5 image tiles from a single gastric biopsy slide; 300×300 px each; scanned at ×20.
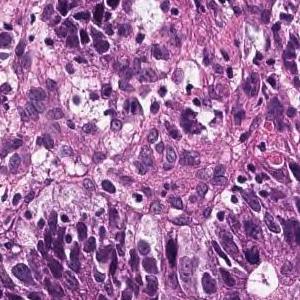
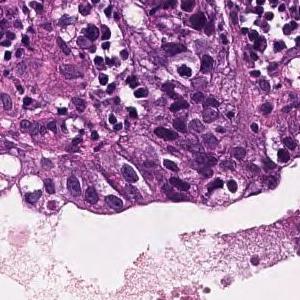
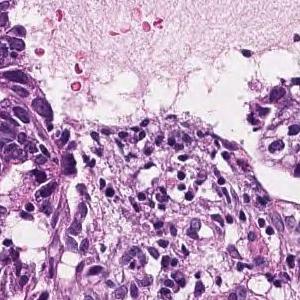
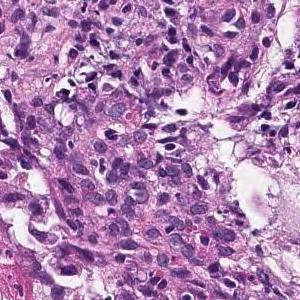
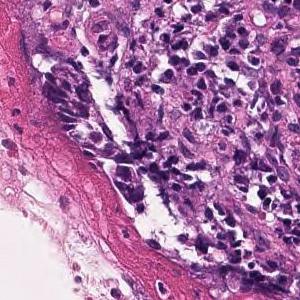
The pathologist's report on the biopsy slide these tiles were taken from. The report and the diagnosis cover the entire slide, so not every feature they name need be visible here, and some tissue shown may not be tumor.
From the superficial epithelium to the muscularis mucosae, tumor tissue infiltrating by forming medium-sized irregular gland ducts is observed. Large tumor cells exhibit large nucleus and hyperchromatism. Well differentiated tubular adenocarcinoma
